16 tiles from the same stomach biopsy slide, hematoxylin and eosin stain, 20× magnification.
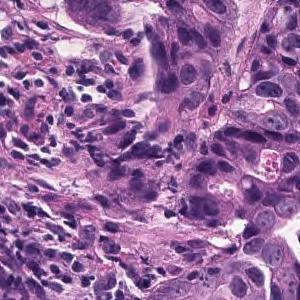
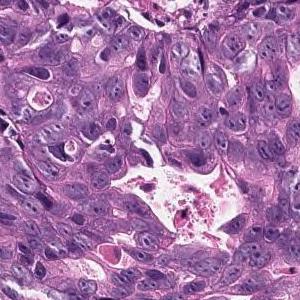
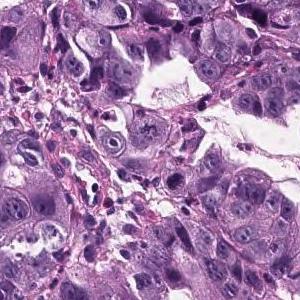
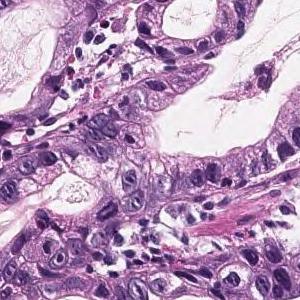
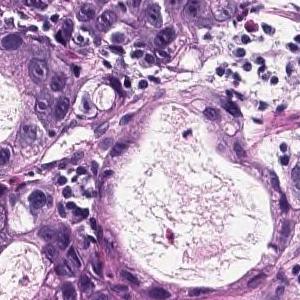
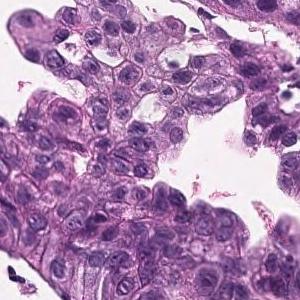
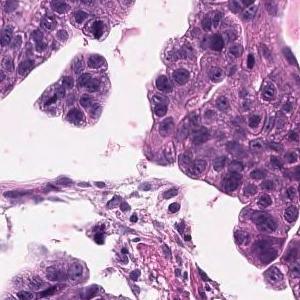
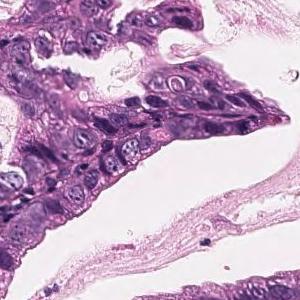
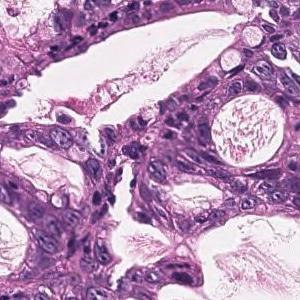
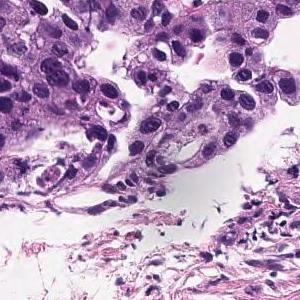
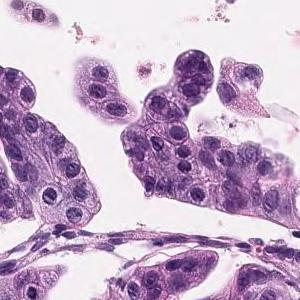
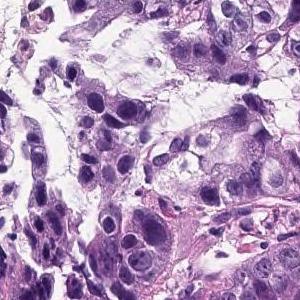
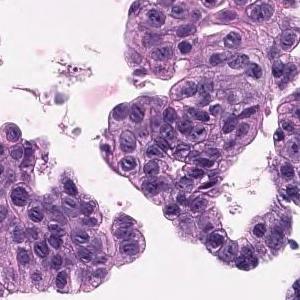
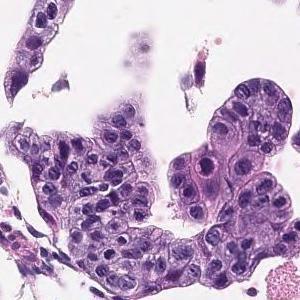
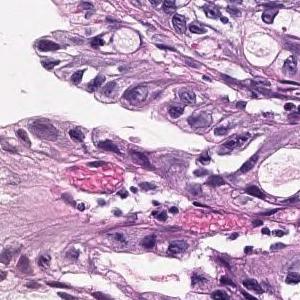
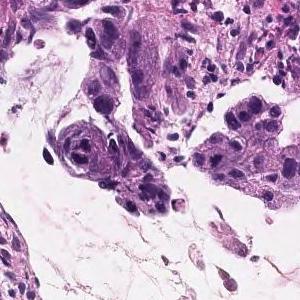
The pathologist's report on the biopsy slide these tiles were taken from. What the report and the diagnosis say applies to the whole slide; these tiles may miss some of the features named and may include tissue that is not tumor.
Tumor cells are large, highly columnar, large club-shaped nuclei, and are associated with chromatin aggregation. Papillary adenocarcinoma.
